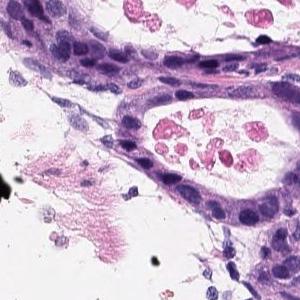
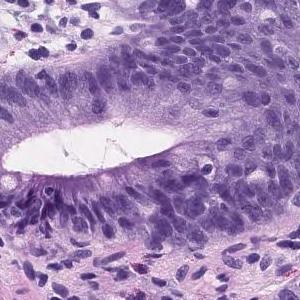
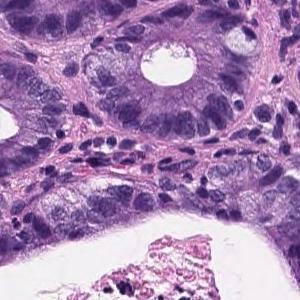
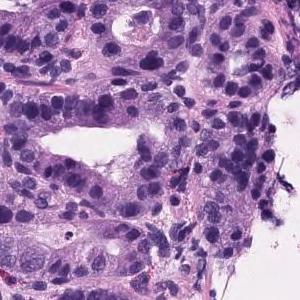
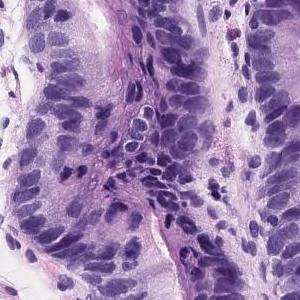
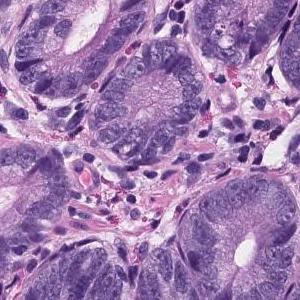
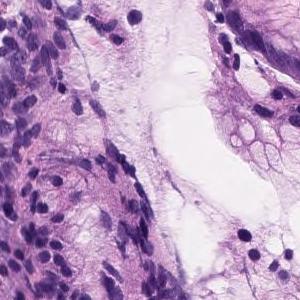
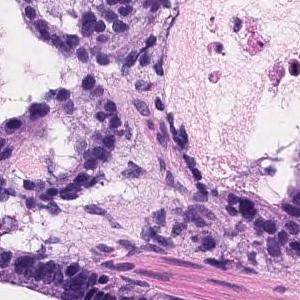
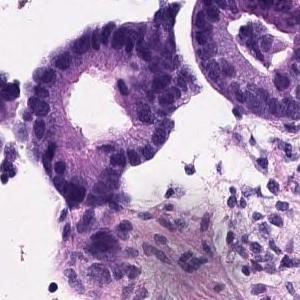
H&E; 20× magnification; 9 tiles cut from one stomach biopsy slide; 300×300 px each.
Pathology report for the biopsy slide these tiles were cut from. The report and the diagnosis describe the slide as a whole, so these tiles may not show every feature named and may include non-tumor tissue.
Tumor tissue consisting of medium-sized and irregular ducts is observed infiltrating in the superficial epithelium. Tumor cells are highly columnar, with nuclei aligned basolaterally and polarized. Well differentiated tubular adenocarcinoma.
